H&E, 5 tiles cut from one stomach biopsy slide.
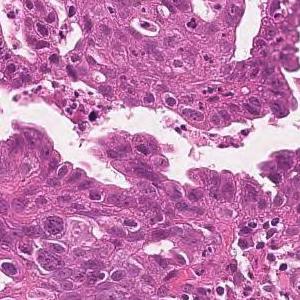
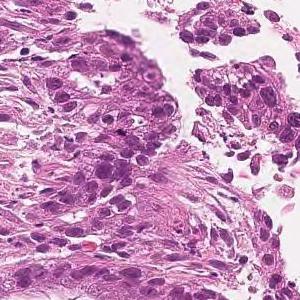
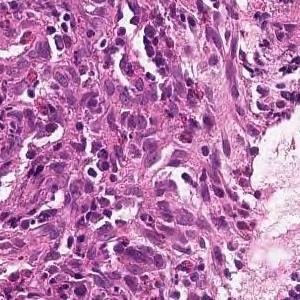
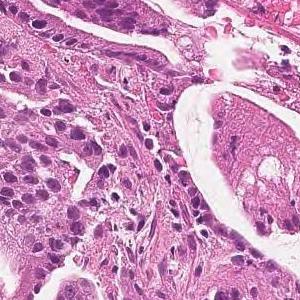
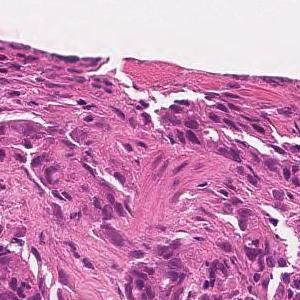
Pathology report for the biopsy slide these tiles were cut from. Both the report and the diagnosis are for the whole slide: these tiles need not show every feature named, and some of the tissue shown may not be tumor.
Tumor tissue consisting of large papillary structures is found in the superficial epithelium. Papillary adenocarcinoma.
